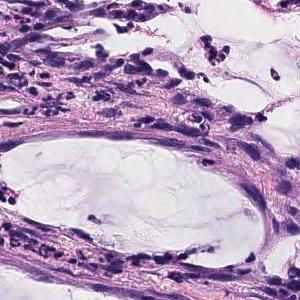
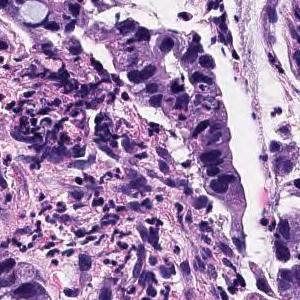
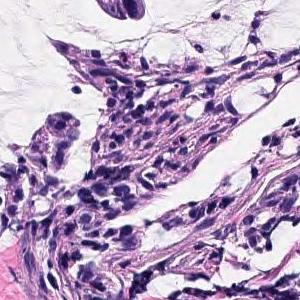
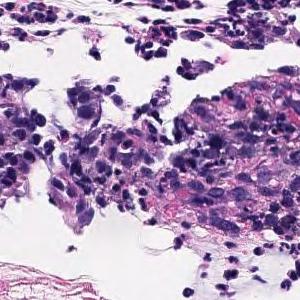
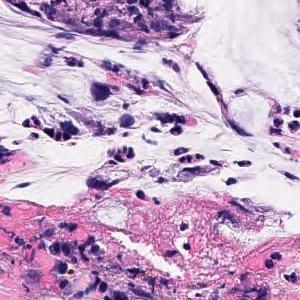
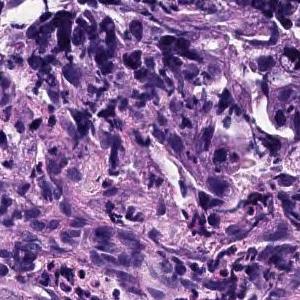
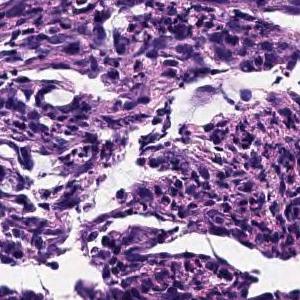
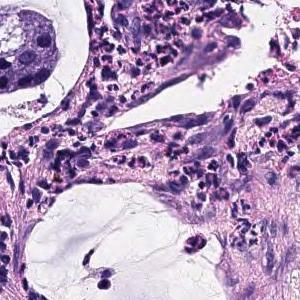
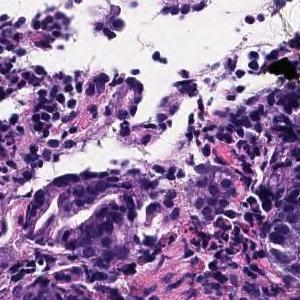
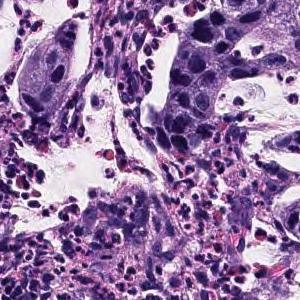
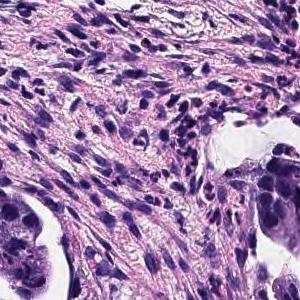
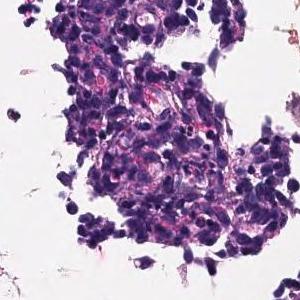
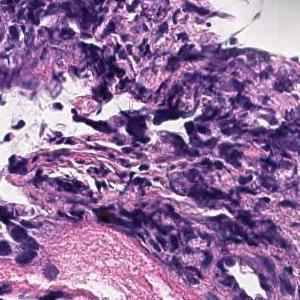
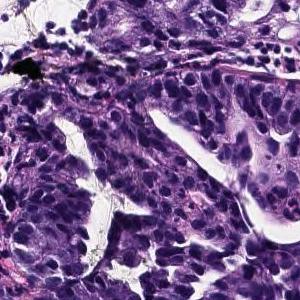
14 image tiles from a single gastric biopsy slide · 300×300 px each · hematoxylin and eosin stain.
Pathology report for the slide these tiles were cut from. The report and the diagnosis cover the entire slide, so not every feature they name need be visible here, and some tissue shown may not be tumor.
The superficial epithelium shows small cord-like infiltrating tumor tissue. Some part of neoplastic cells are signet ring cell type which show single invasion manner. Poorly differentiated adenocarcinoma, non-solid type.
"Non-solid type" is a category of the Japanese Classification of Gastric Carcinoma.
